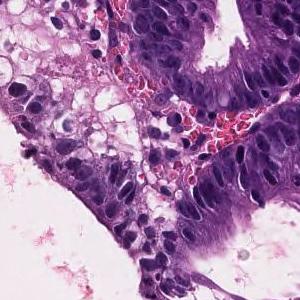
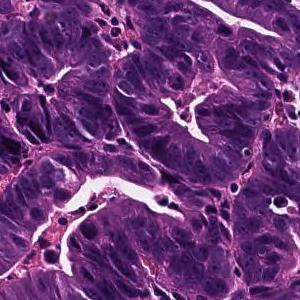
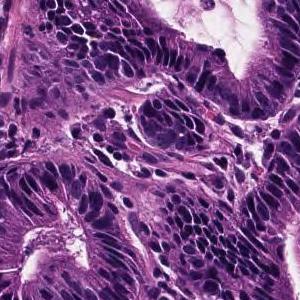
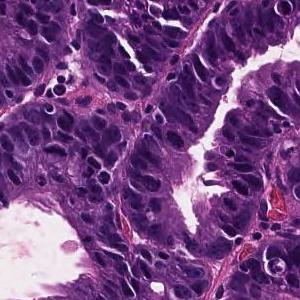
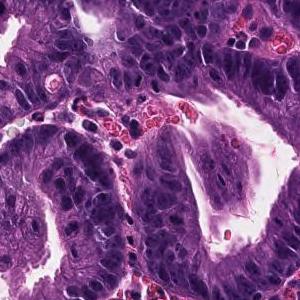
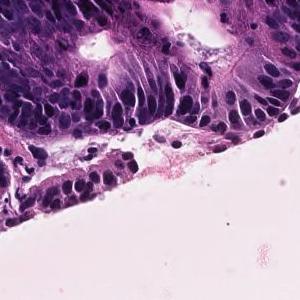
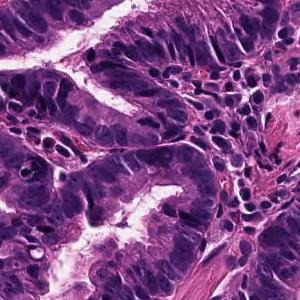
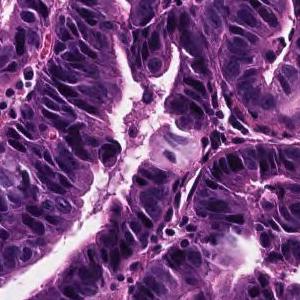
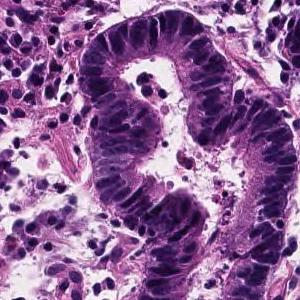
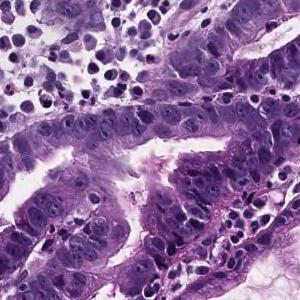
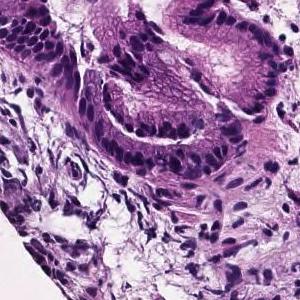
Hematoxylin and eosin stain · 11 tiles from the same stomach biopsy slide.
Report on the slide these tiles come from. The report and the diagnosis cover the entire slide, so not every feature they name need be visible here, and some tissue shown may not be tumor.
On the superficial epithelium, tumor tissue consisting of growth of medium-sized to large-sized, round or irregular glandular ducts is observed. Well differentiated tubular adenocarcinoma
